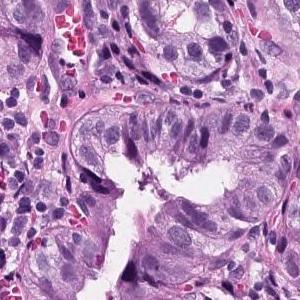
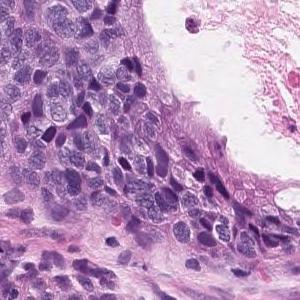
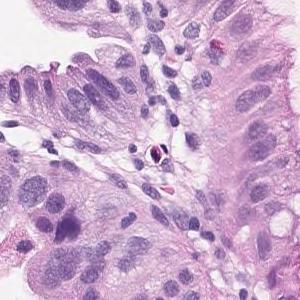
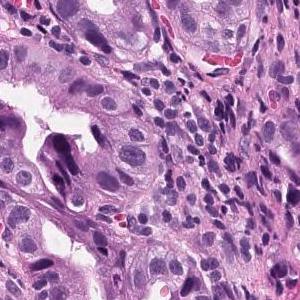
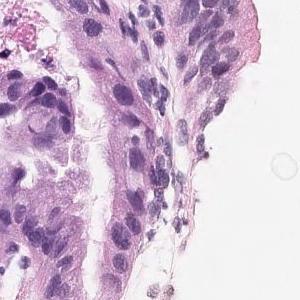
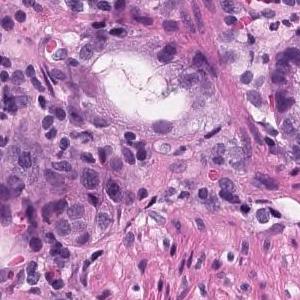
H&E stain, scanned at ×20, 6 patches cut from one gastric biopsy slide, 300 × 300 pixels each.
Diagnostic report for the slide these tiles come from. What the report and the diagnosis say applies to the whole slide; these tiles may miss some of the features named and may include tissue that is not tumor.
Tumor tissue consisting of medium-sized and irregular ducts is observed infiltrating in the superficial epithelium. Tumor cells are highly columnar, with nuclei aligned basolaterally and polarized. Well differentiated tubular adenocarcinoma.
